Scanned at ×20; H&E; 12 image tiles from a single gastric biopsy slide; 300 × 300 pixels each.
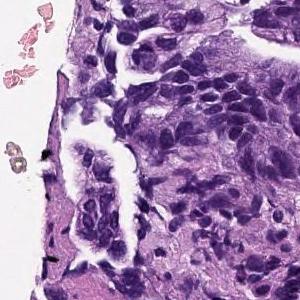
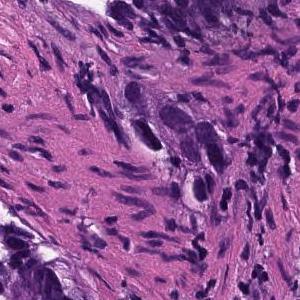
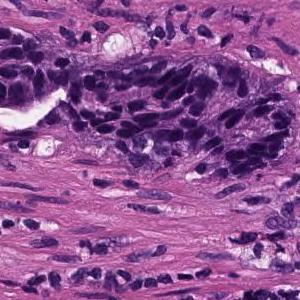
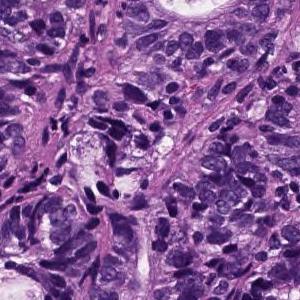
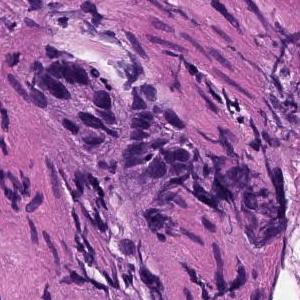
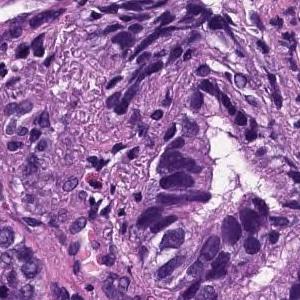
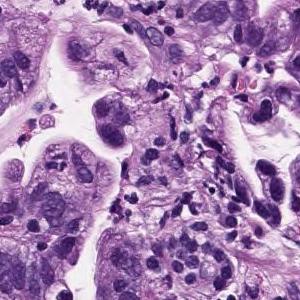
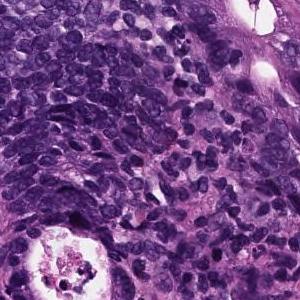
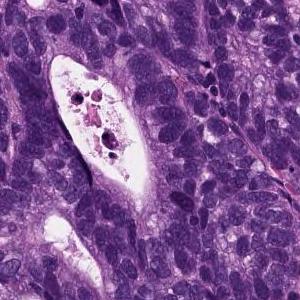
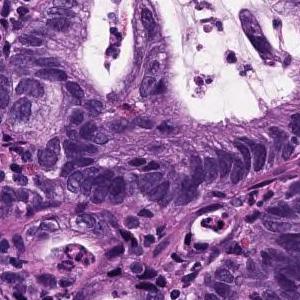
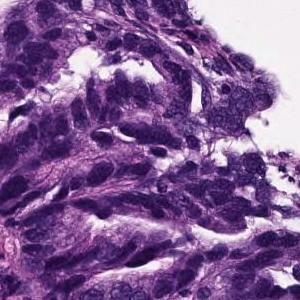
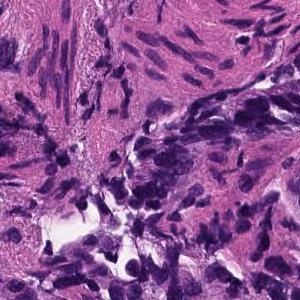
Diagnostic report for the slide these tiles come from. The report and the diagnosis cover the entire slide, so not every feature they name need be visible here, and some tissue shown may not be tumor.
In the superficial epithelium, tumor tissue that invades by forming medium-sized to small, irregular ducts is observed. Moderately differentiated adenocarcinoma.
Classified as moderately differentiated tubular adenocarcinoma.
